H&E · 20× magnification · 9 image tiles from a single gastric biopsy slide · each 300 × 300 pixels.
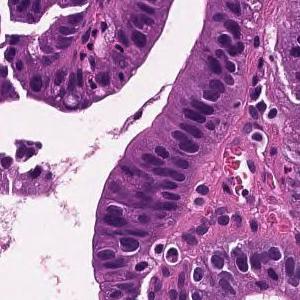
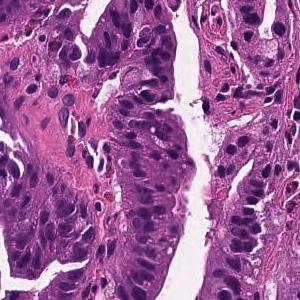
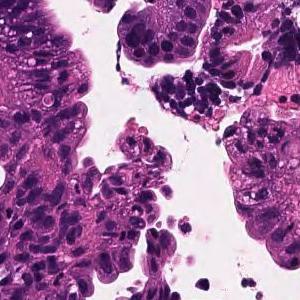
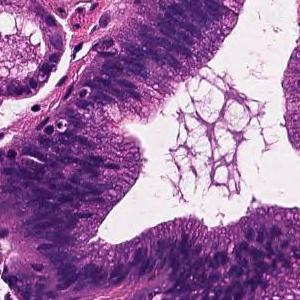
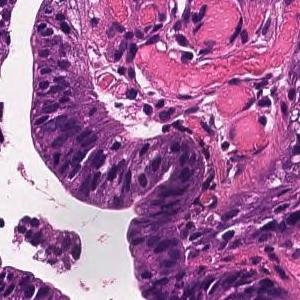
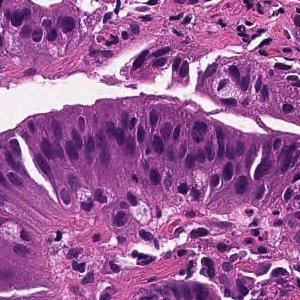
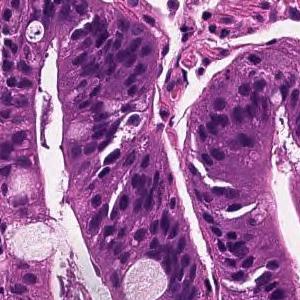
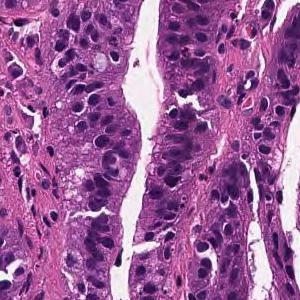
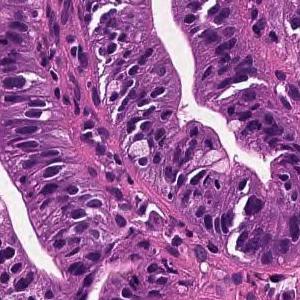
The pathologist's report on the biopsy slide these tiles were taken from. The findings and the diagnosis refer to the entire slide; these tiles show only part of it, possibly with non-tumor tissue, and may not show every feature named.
On the superficial epithelium, tumor tissue that infiltrates by forming medium-sized papillary or small irregular ducts is observed. Papillary adenocarcinoma
